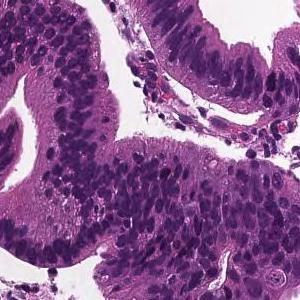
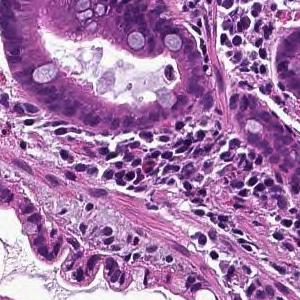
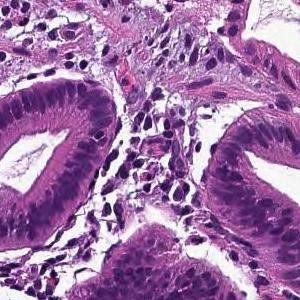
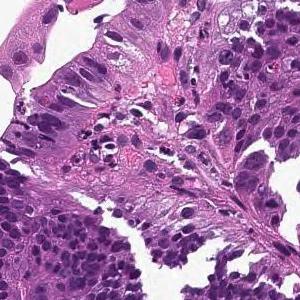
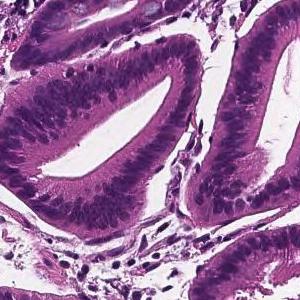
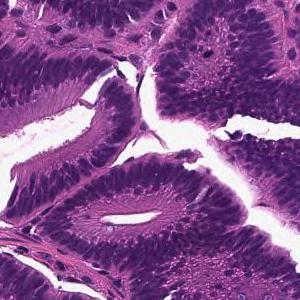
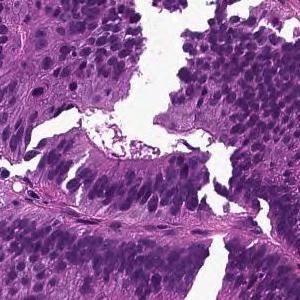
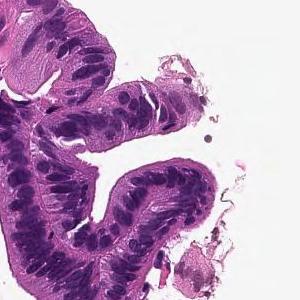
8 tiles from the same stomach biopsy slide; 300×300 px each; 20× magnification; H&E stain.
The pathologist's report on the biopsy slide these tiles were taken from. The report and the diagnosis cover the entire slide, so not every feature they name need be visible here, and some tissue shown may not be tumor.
From the superficial epithelium to the muscularis mucosae, tumor tissue consisting of medium-sized and irregular glandular ducts infiltrating is observed. Well differentiated tubular adenocarcinoma
